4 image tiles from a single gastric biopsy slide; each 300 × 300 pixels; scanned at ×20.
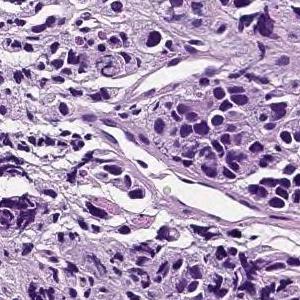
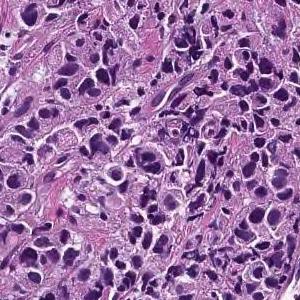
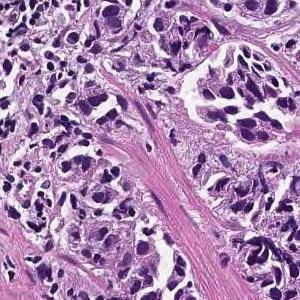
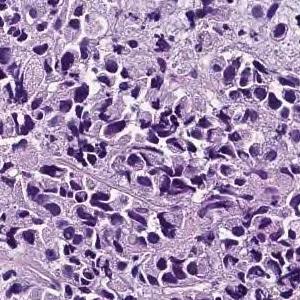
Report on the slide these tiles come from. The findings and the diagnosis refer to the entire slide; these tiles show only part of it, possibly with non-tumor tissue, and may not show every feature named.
The lamina propria shows small cord-like tumor tissue that infiltrates with fibrosis and marked chronic inflammatory cell infiltration. Poorly differentiated adenocarcinoma, non-solid type
The term "non-solid type" comes from the Japanese Classification of Gastric Carcinoma.
